Scanned at ×20 · H&E · 12 patches cut from one gastric biopsy slide · 300 × 300 pixels each.
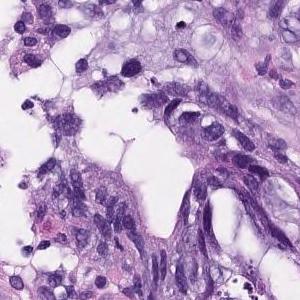
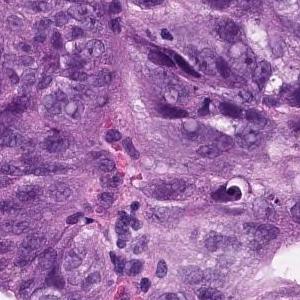
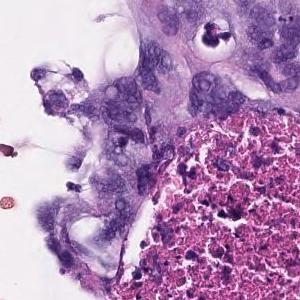
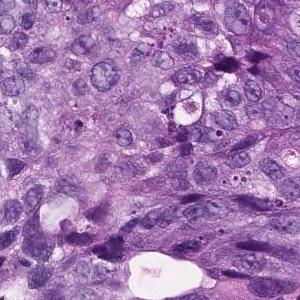
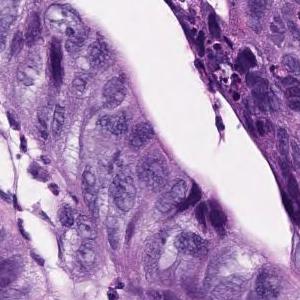
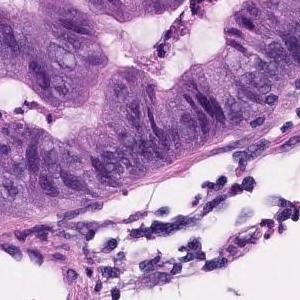
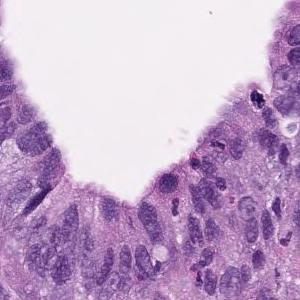
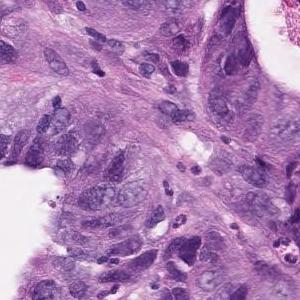
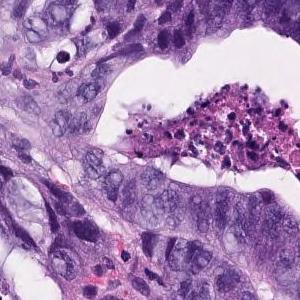
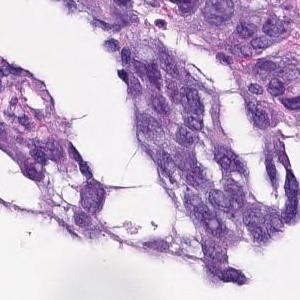
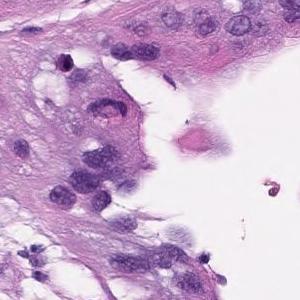
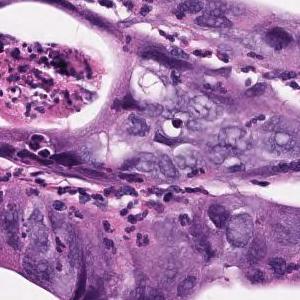
Pathology report for the biopsy slide these tiles were cut from. Both the report and the diagnosis are for the whole slide: these tiles need not show every feature named, and some of the tissue shown may not be tumor.
In the superficial epithelium, tumor tissue that invades by forming medium-sized to small, irregular ducts is observed. Moderately differentiated adenocarcinoma.
Tumor subtype: moderately differentiated tubular adenocarcinoma.
